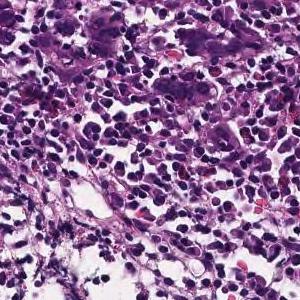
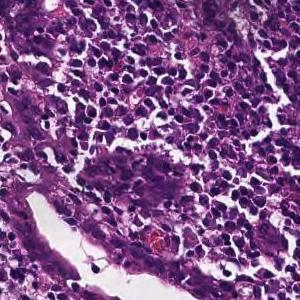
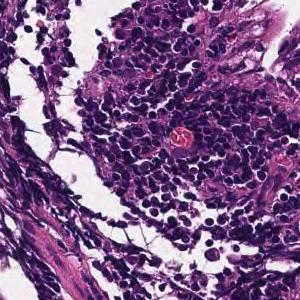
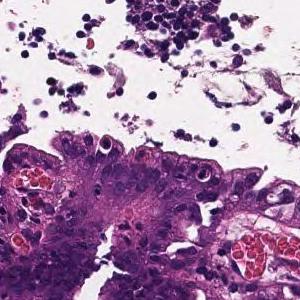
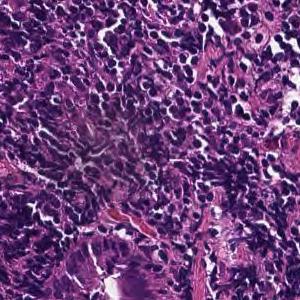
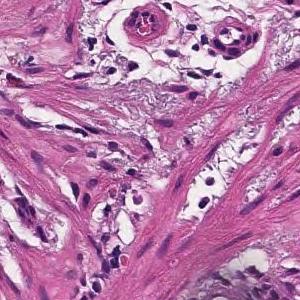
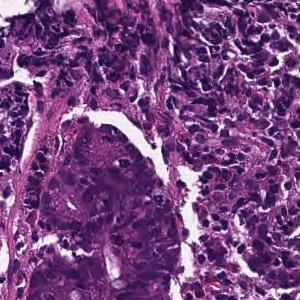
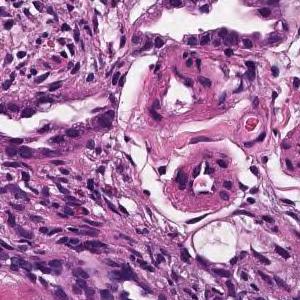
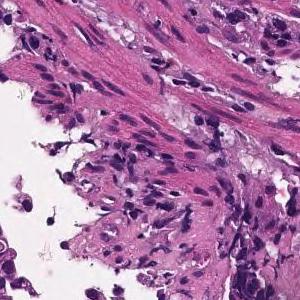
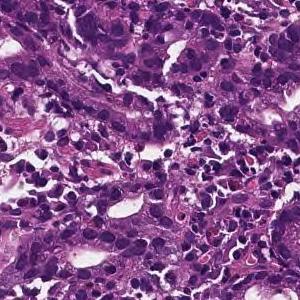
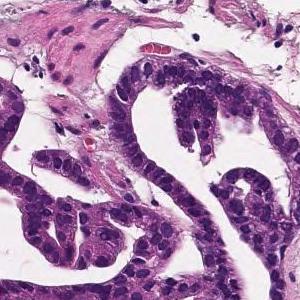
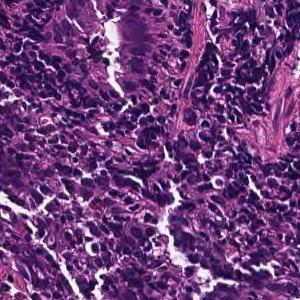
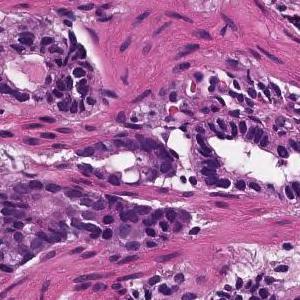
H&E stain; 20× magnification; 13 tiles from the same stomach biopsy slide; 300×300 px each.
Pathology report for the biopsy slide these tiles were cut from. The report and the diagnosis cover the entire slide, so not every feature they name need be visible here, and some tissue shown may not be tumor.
Tumor tissue consisting of medium-sized, cord-like or irregular glandular infiltration is observed in the superficial epithelium. Poorly differentiated adenocarcinoma, non-solid type or moderately differentiated tubular adenocarcinoma
Subtype: Moderately to poorly differentiated adenocarcinoma.
The non-solid type named here is a Japanese Classification of Gastric Carcinoma category.
